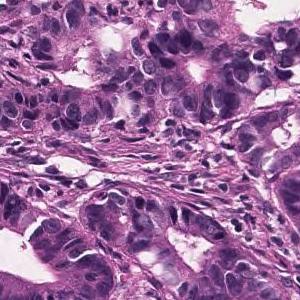
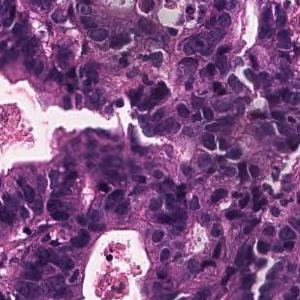
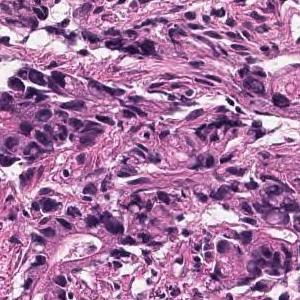
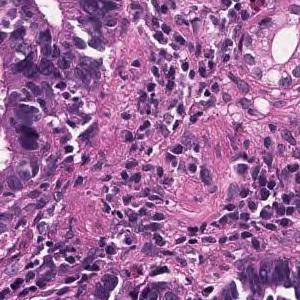
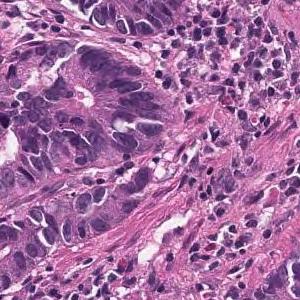
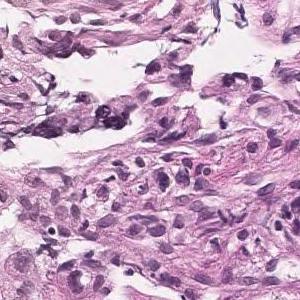
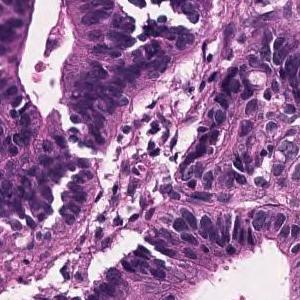
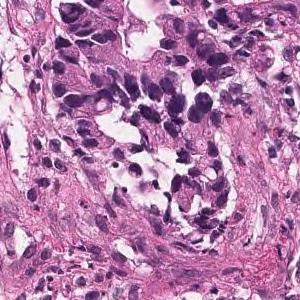
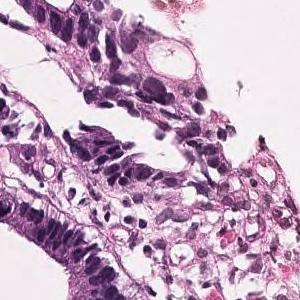
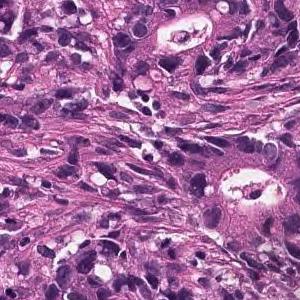
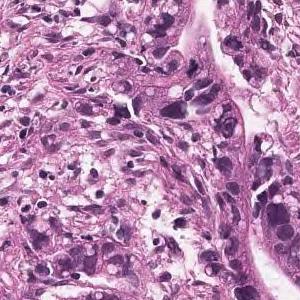
H&E stain; scanned at ×20; 11 tiles cut from one stomach biopsy slide.
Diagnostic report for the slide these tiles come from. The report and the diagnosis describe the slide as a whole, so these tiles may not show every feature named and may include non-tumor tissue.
In the superficial epithelium, tumor tissue is found in which medium-sized irregular gland ducts fuse with each other and infiltrate. moderately differentiated tubular adenocarcinoma
